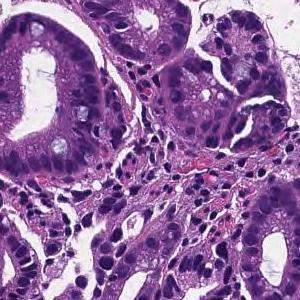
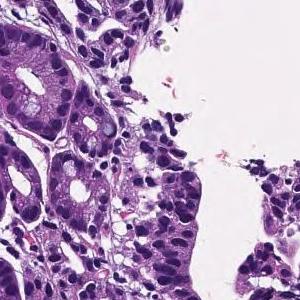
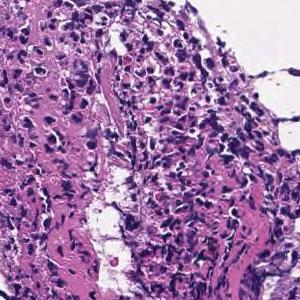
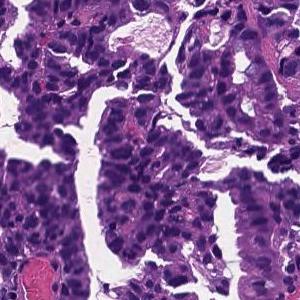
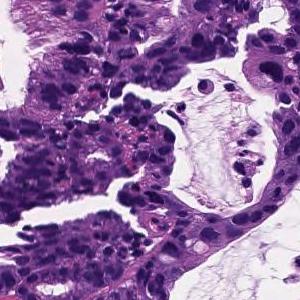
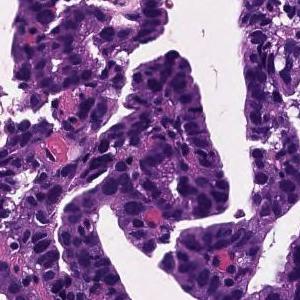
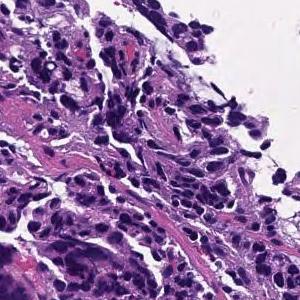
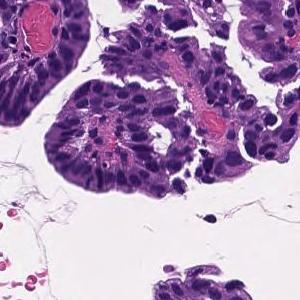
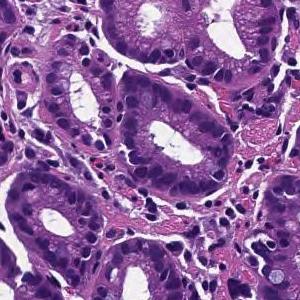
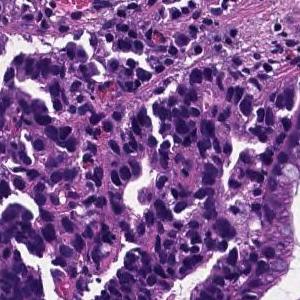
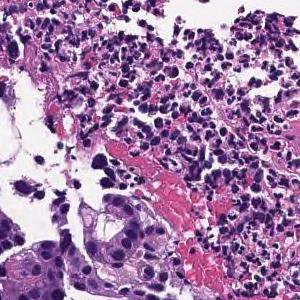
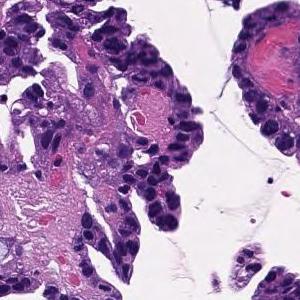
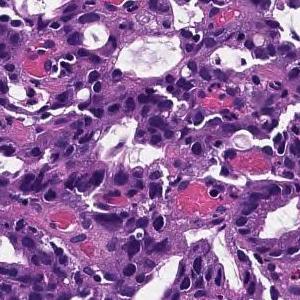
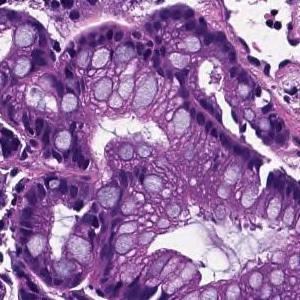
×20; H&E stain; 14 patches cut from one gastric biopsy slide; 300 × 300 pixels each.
Pathology report for the slide these tiles were cut from. Both the report and the diagnosis are for the whole slide: these tiles need not show every feature named, and some of the tissue shown may not be tumor.
Tumor cells are large, highly columnar, large club-shaped nuclei, and are associated with chromatin aggregation. Papillary adenocarcinoma.
